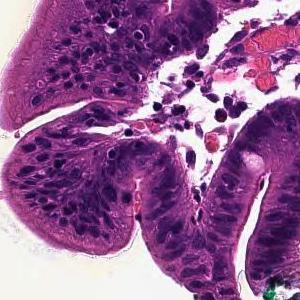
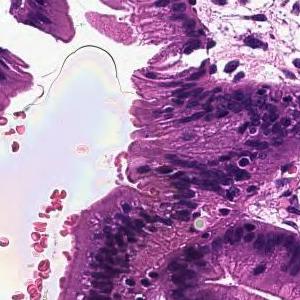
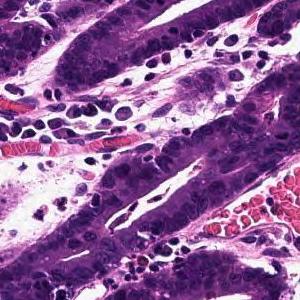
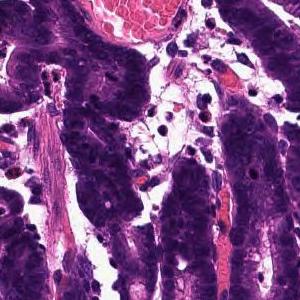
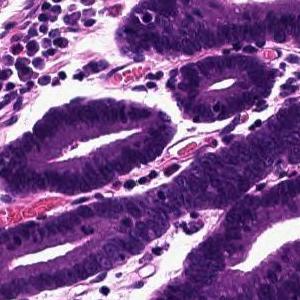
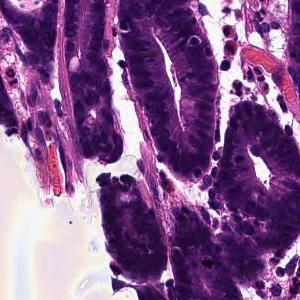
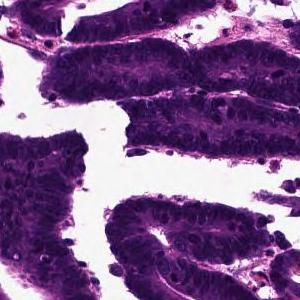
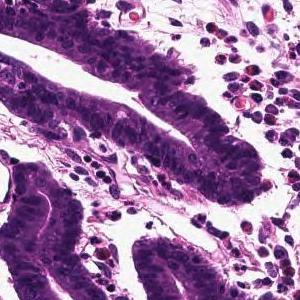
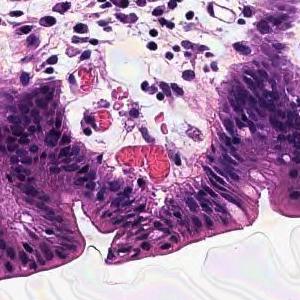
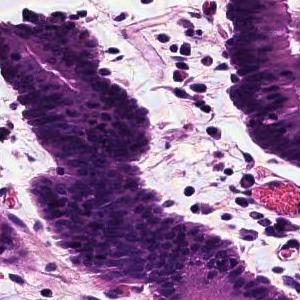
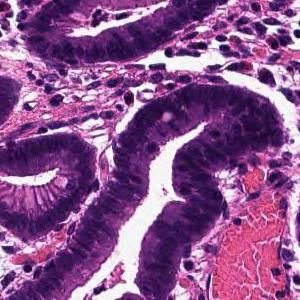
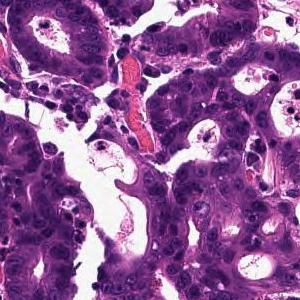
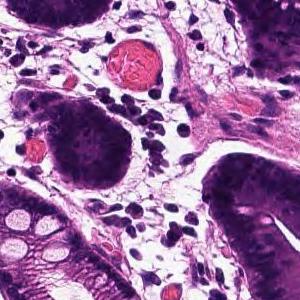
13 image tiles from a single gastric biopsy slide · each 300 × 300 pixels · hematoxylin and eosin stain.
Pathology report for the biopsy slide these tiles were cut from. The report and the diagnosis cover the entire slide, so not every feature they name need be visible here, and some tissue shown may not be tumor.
Tumor tissue that infiltrates by forming large papillary or large irregular glandular ducts is observed confined to the mucosa. Papillary adenocarcinoma
